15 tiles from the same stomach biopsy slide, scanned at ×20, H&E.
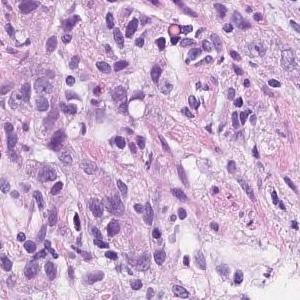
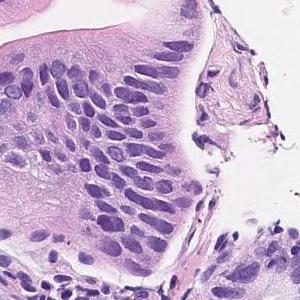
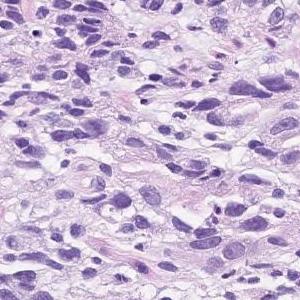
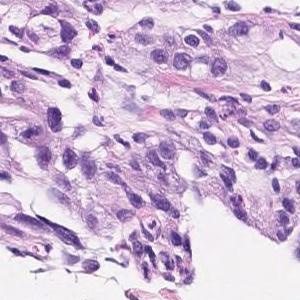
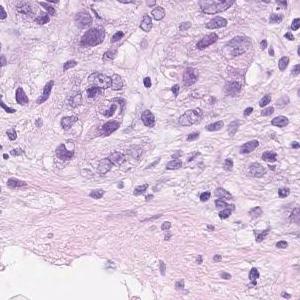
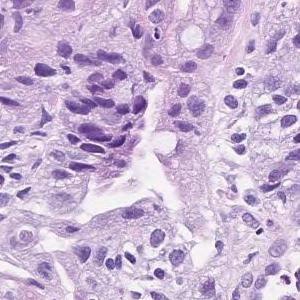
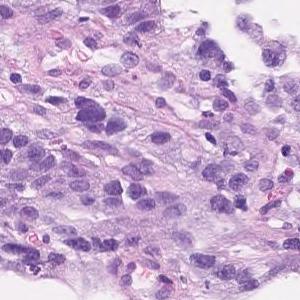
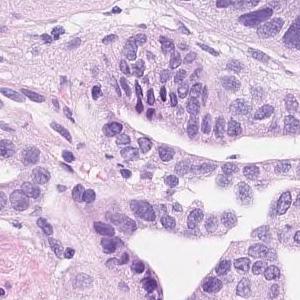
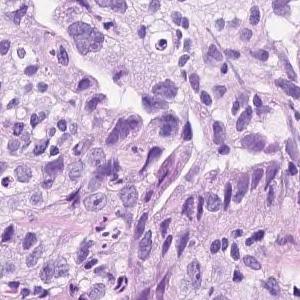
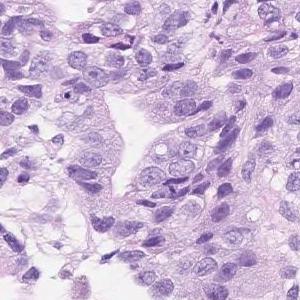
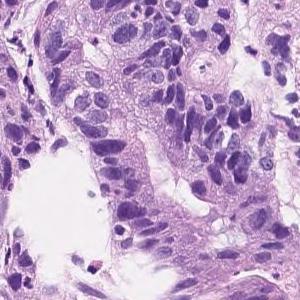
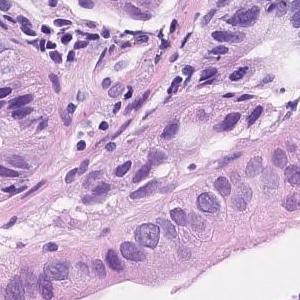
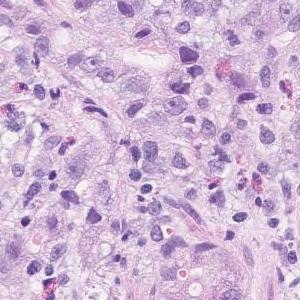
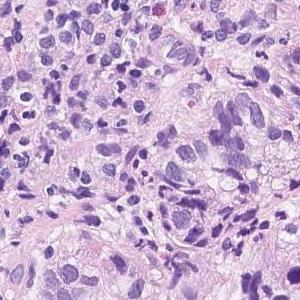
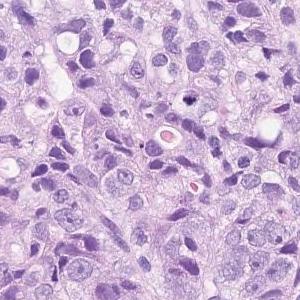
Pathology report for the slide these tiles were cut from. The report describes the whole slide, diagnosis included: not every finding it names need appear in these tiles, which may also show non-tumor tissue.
In the superficial epithelium, tumor tissue that invades by forming medium-sized to small, irregular ducts is observed. Moderately to poorly differentiated adenocarcinoma
